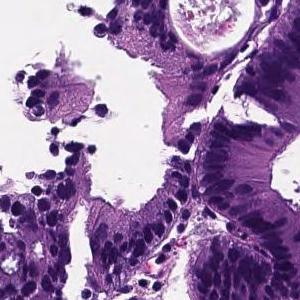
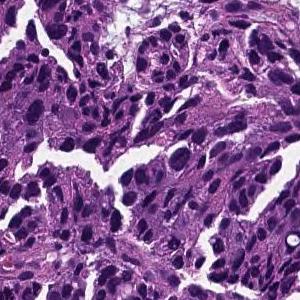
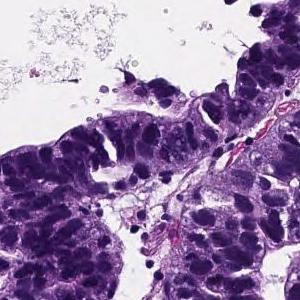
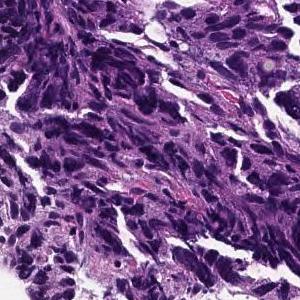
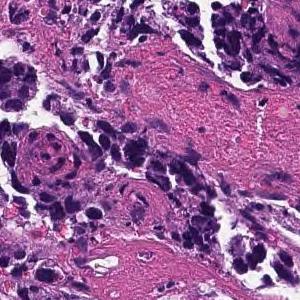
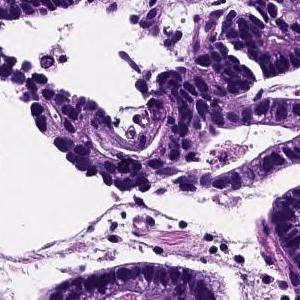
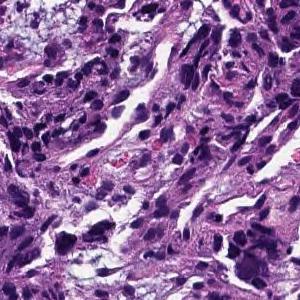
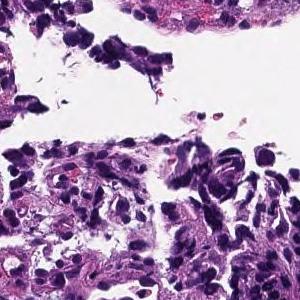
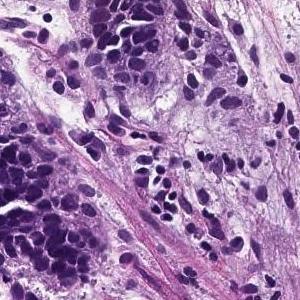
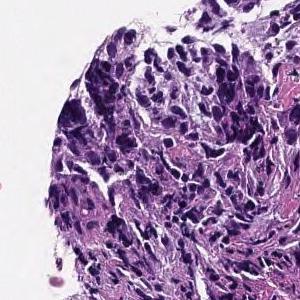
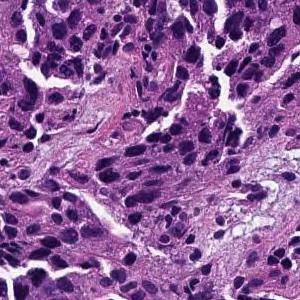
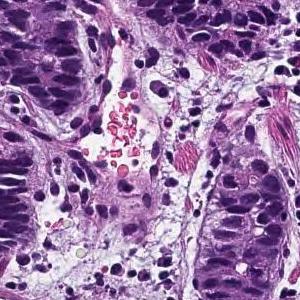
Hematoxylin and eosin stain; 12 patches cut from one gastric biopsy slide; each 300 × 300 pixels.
The pathologist's report on the biopsy slide these tiles were taken from. Both the report and the diagnosis are for the whole slide: these tiles need not show every feature named, and some of the tissue shown may not be tumor.
From the superficial epithelium to the muscularis mucosae, tumor tissue consisting of medium-sized and irregular glandular ducts infiltrating is observed. Well differentiated tubular adenocarcinoma
